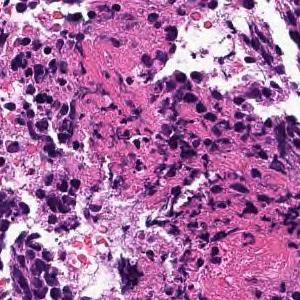
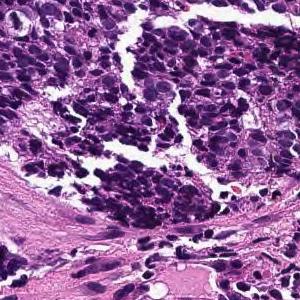
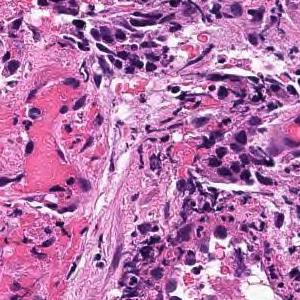
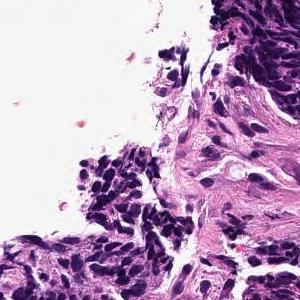
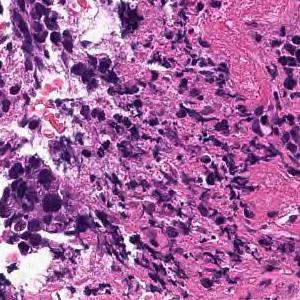
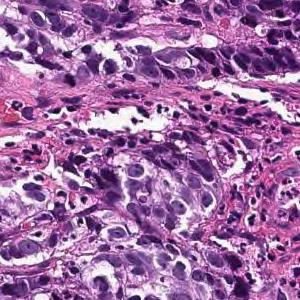
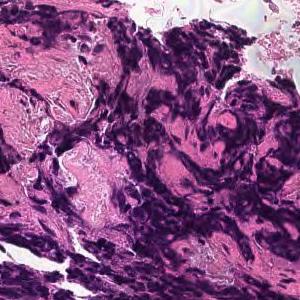
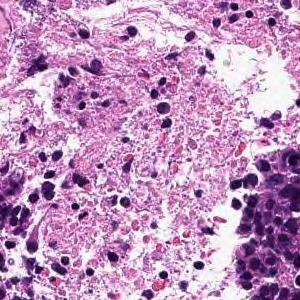
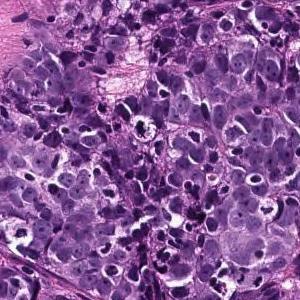
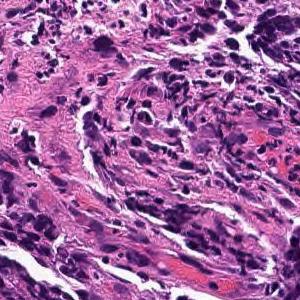
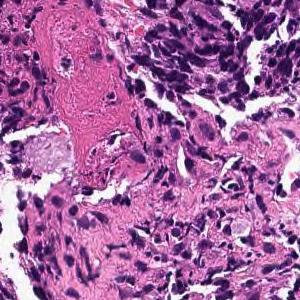
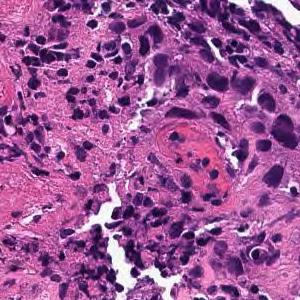
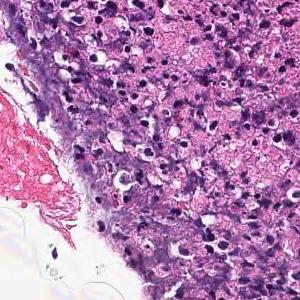
Scanned at ×20 · H&E stain · 13 tiles cut from one stomach biopsy slide · 300 × 300 pixels each.
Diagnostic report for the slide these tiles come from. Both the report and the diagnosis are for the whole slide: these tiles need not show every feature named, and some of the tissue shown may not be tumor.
The superficial epithelium shows a large sheet or alveolar shape, and tumor tissue infiltrating without irregular ducts is observed. Poorly differentiated adenocarcinoma, solid-type
Tumor subtype: poorly differentiated adenocarcinoma, solid type. This name comes from the Japanese Classification of Gastric Carcinoma; the WHO 2019 classification calls it tubular adenocarcinoma, poorly differentiated.
